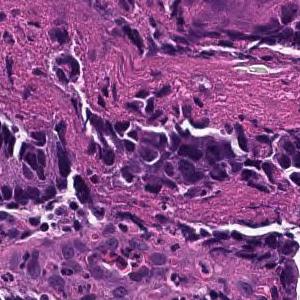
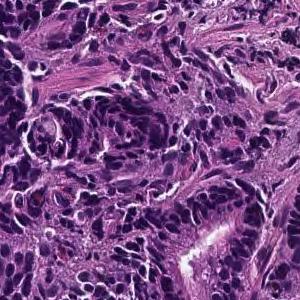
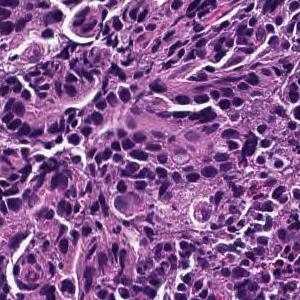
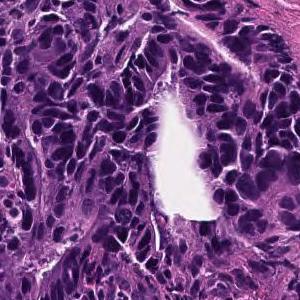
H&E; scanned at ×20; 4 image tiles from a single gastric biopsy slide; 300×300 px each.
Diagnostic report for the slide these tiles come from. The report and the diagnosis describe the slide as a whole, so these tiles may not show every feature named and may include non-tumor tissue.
On the superficial epithelium, tumor tissue consisting of large irregular glandular ducts partially fused and infiltrated is observed. Well to moderately differentiated tubular adenocarcinoma (well differentiated tubular adenocarcinoma, moderately differentiated tubular adenocarcinoma)
Tumor subtype: well to moderately differentiated tubular adenocarcinoma.
